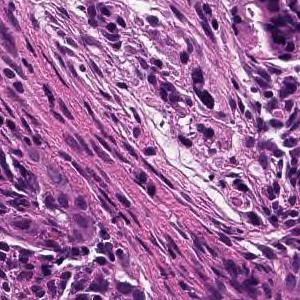
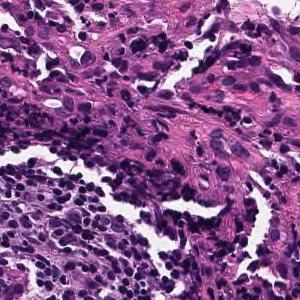
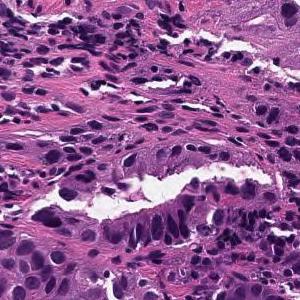
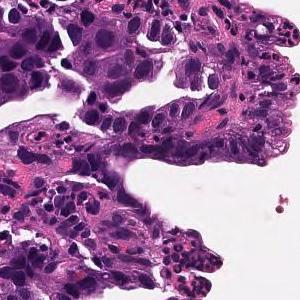
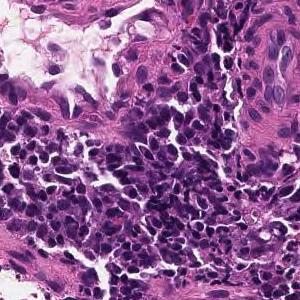
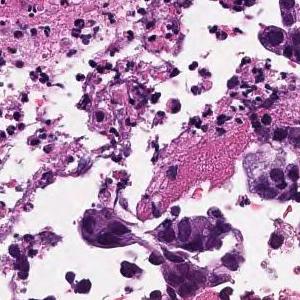
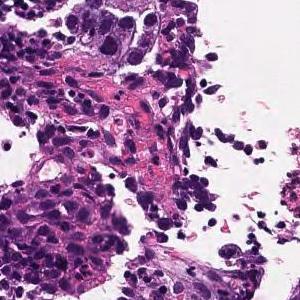
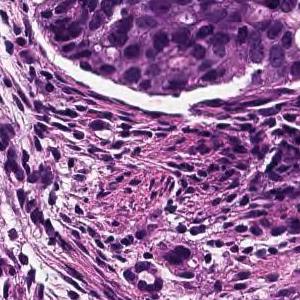
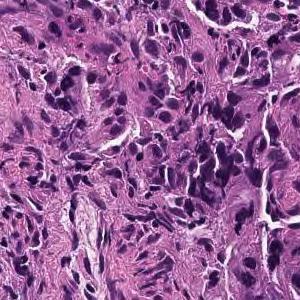
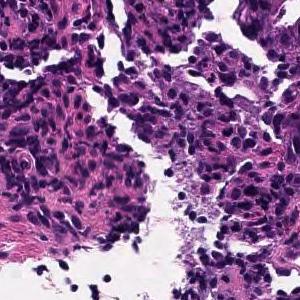
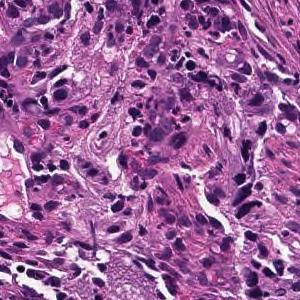
11 tiles cut from one stomach biopsy slide, H&E stain.
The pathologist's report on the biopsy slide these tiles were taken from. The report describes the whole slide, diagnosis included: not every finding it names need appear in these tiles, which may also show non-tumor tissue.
On the superficial epithelium, tumor tissue consisting of large irregular glandular ducts partially fused and infiltrated is observed. Well to moderately differentiated tubular adenocarcinoma (well differentiated tubular adenocarcinoma, moderately differentiated tubular adenocarcinoma)
Subtype: Well to moderately differentiated tubular adenocarcinoma.
